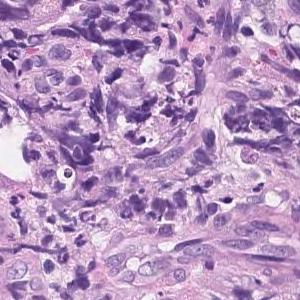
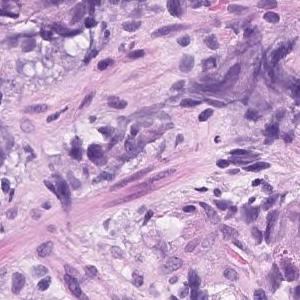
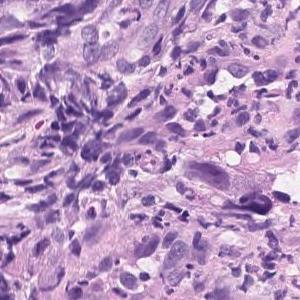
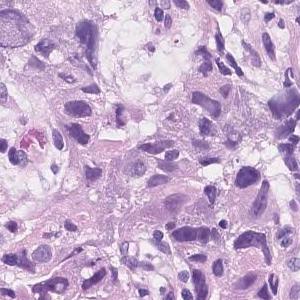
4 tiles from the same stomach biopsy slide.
Pathology report for the slide these tiles were cut from. The findings and the diagnosis refer to the entire slide; these tiles show only part of it, possibly with non-tumor tissue, and may not show every feature named.
Atypical epithelial cells infiltrating and proliferating diffusely or while forming vesicles is observed. Poorly differentiated adenocarcinoma (poorly differentiated adenocarcinoma, solid type moderately differentiated tubular adenocarcinoma)
Dataset label: poorly differentiated adenocarcinoma, solid type, a category of the Japanese Classification of Gastric Carcinoma; in the WHO 2019 classification it is tubular adenocarcinoma, poorly differentiated.
